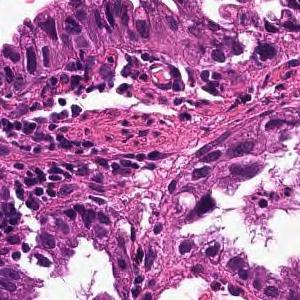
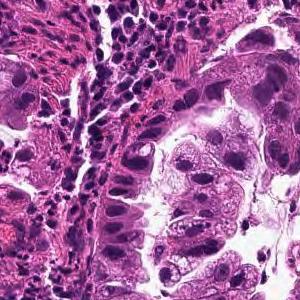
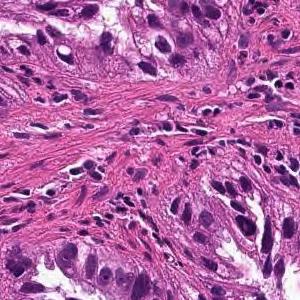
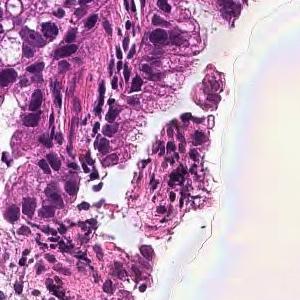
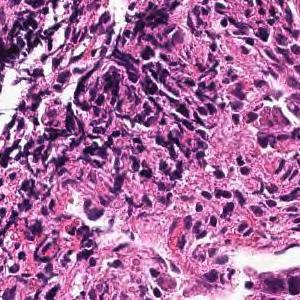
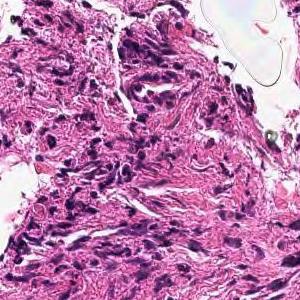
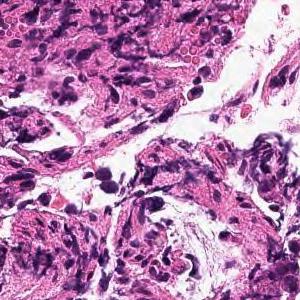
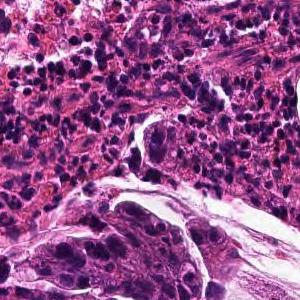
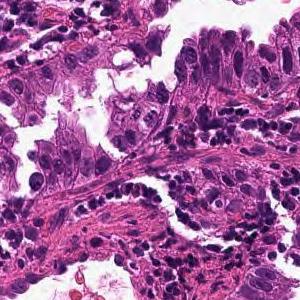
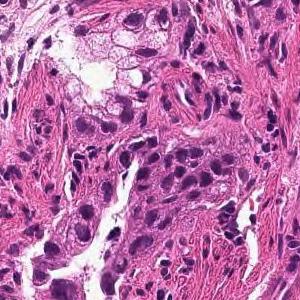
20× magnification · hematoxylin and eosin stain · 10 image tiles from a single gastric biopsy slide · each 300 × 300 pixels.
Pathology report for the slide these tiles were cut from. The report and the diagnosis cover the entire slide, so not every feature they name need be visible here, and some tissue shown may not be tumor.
From the superficial epithelium to the muscularis mucosae, tumor tissue infiltrating by forming medium-sized irregular gland ducts is observed. Well differentiated tubular adenocarcinoma
